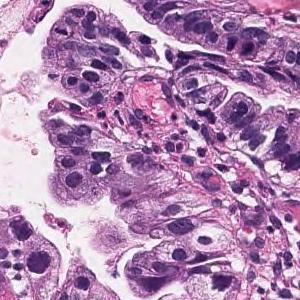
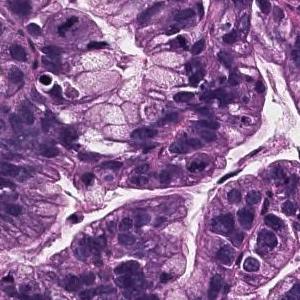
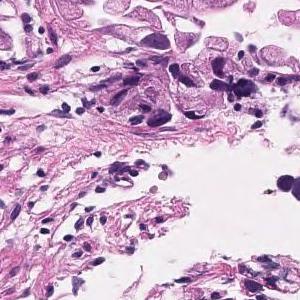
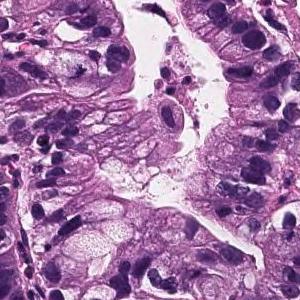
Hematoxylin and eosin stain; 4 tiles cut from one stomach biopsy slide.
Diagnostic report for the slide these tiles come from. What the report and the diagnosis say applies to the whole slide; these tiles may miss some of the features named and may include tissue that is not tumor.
Tumor cells are large, highly columnar, large club-shaped nuclei, and are associated with chromatin aggregation. Papillary adenocarcinoma.
